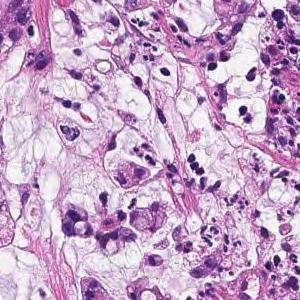
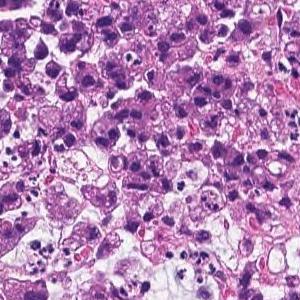
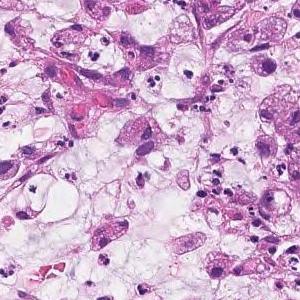
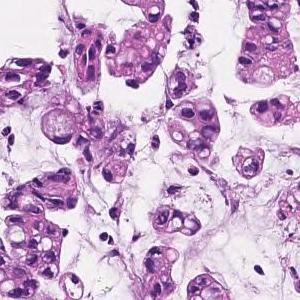
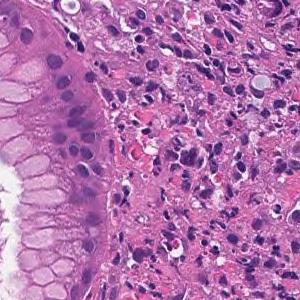
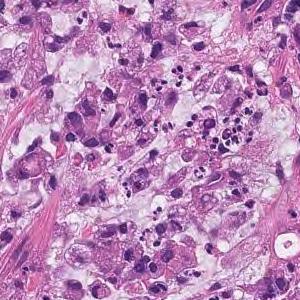
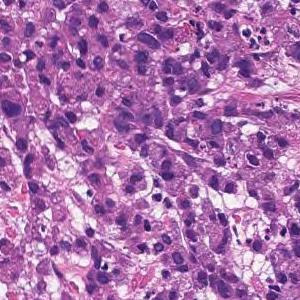
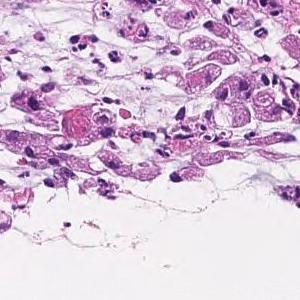
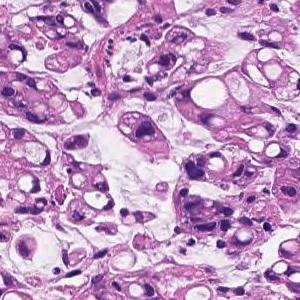
H&E; scanned at ×20; 9 tiles cut from one stomach biopsy slide; 300 × 300 pixels each.
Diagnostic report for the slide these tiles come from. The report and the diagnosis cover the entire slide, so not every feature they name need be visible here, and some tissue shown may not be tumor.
Tumor tissue consisting of cord-like or small, irregular glandular ducts fused and infiltrated is observed in the superficial epithelium. Poorly differentiated adenocarcinoma, non-solid type
The term "non-solid type" comes from the Japanese Classification of Gastric Carcinoma.
